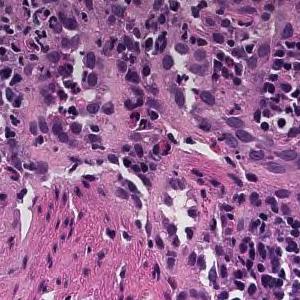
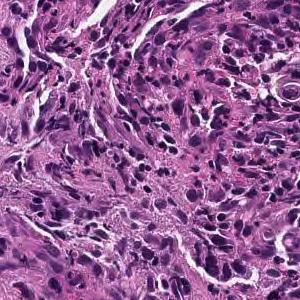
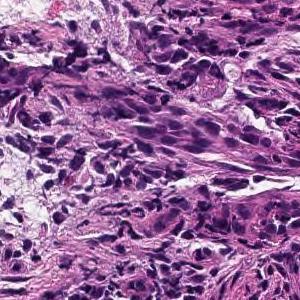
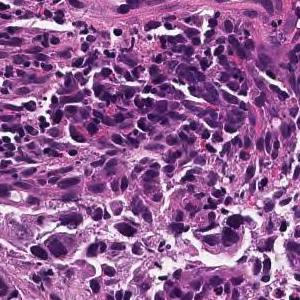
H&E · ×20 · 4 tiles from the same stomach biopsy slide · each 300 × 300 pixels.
The pathologist's report on the biopsy slide these tiles were taken from. The findings and the diagnosis refer to the entire slide; these tiles show only part of it, possibly with non-tumor tissue, and may not show every feature named.
On the superficial epithelium, tumor tissue consisting of large irregular glandular ducts partially fused and infiltrated is observed. Well to moderately differentiated tubular adenocarcinoma (well differentiated tubular adenocarcinoma, moderately differentiated tubular adenocarcinoma)
Tumor subtype: well to moderately differentiated tubular adenocarcinoma.
